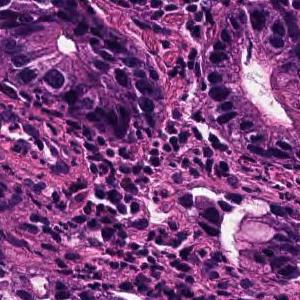
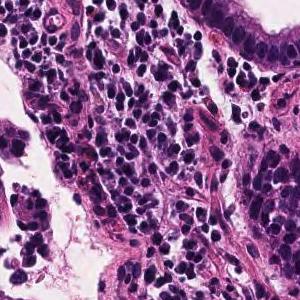
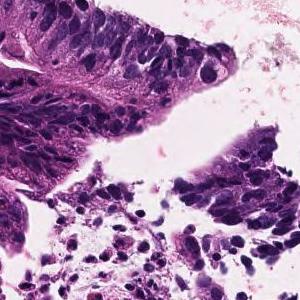
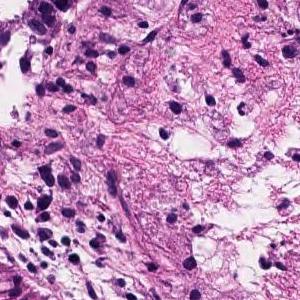
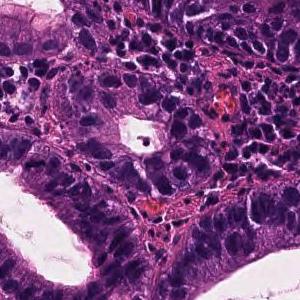
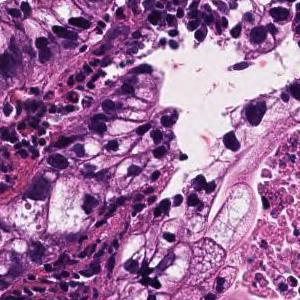
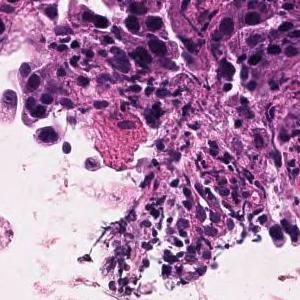
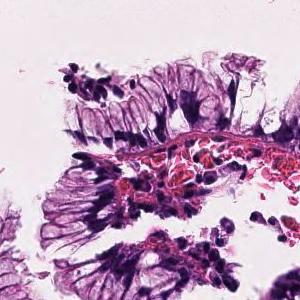
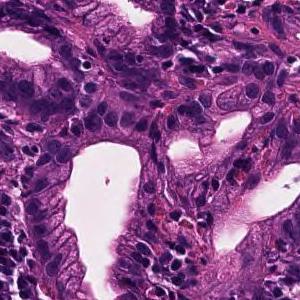
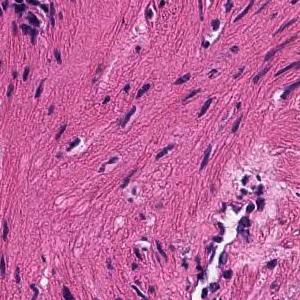
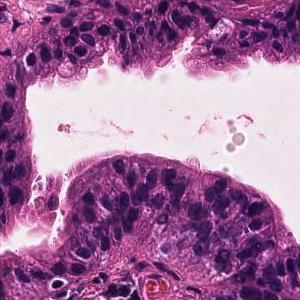
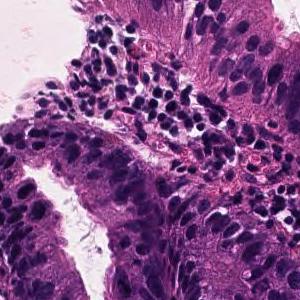
Hematoxylin and eosin stain · scanned at ×20 · 12 patches cut from one gastric biopsy slide · each 300 × 300 pixels.
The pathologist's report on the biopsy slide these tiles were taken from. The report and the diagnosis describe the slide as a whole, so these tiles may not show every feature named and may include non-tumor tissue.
Tumor cells are large, highly columnar, large club-shaped nuclei, and are associated with chromatin aggregation. Papillary adenocarcinoma.
